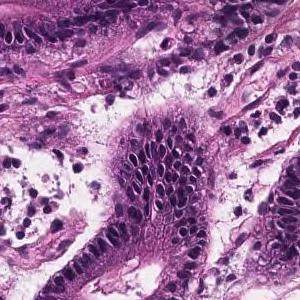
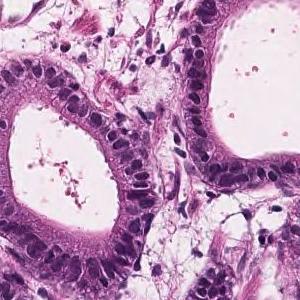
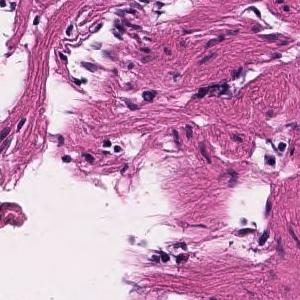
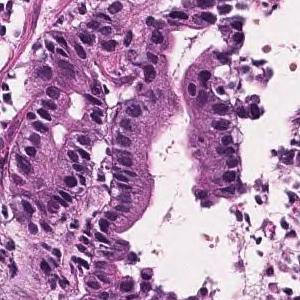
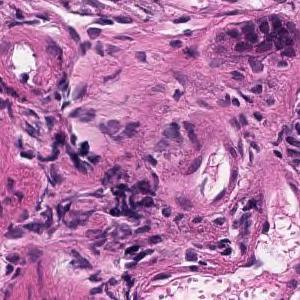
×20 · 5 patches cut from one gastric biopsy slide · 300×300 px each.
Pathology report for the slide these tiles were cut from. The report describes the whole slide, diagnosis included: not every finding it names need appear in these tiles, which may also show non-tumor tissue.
Tumor tissue with atypical epithelium showing irregular ductal or sieving ductal structure and proliferating is observed. Well to moderately differentiated tubular adenocarcinoma (well differentiated tubular adenocarcinoma-moderately differentiated tubular adenocarcinoma)
Subtype: Well to moderately differentiated tubular adenocarcinoma.
